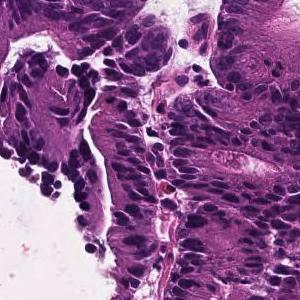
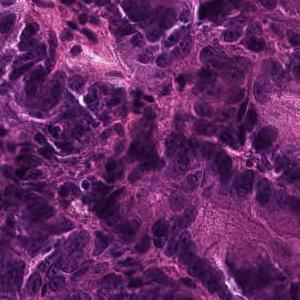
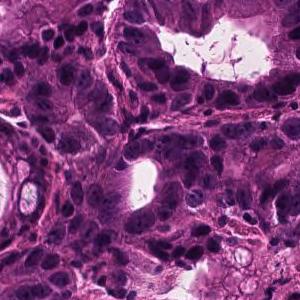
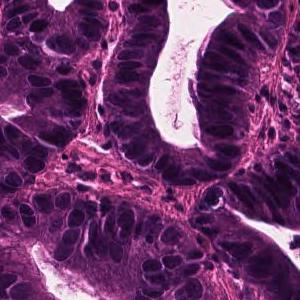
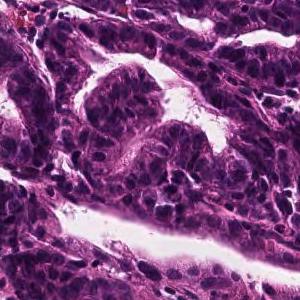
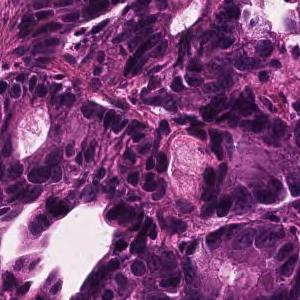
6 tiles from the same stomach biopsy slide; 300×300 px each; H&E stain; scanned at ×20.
The pathologist's report on the biopsy slide these tiles were taken from. The report and the diagnosis describe the slide as a whole, so these tiles may not show every feature named and may include non-tumor tissue.
In the superficial epithelium, tumor tissue that invades by forming medium-sized to small, irregular ducts is observed. Well differentiated tubular adenocarcinoma.
